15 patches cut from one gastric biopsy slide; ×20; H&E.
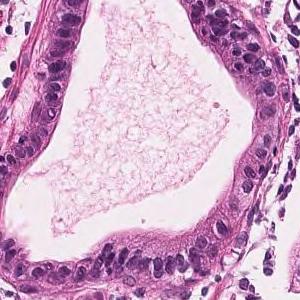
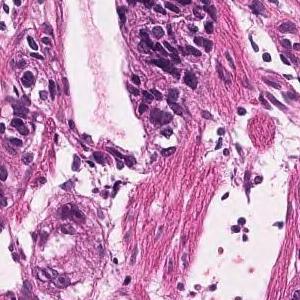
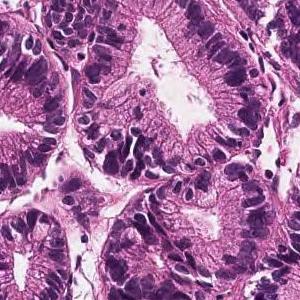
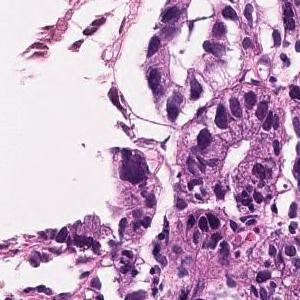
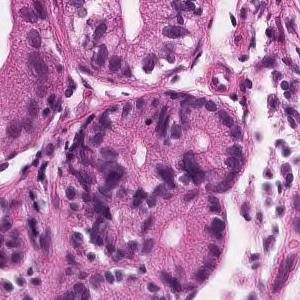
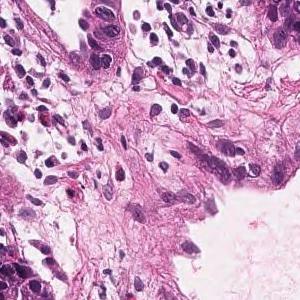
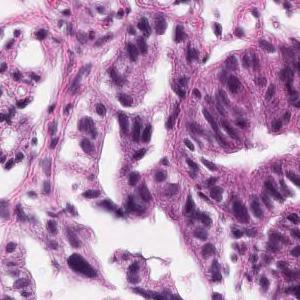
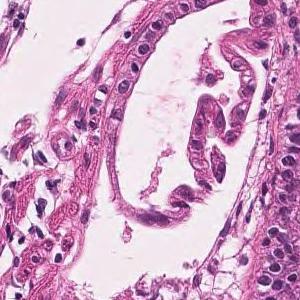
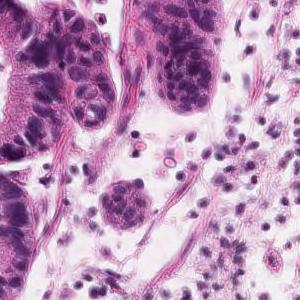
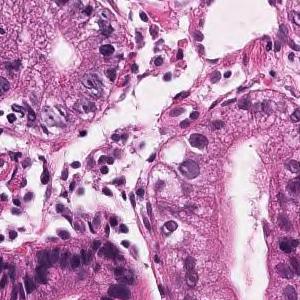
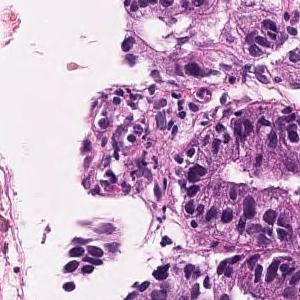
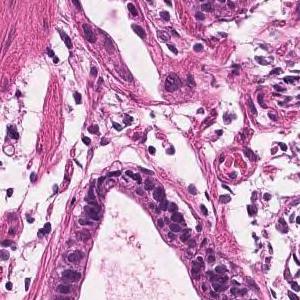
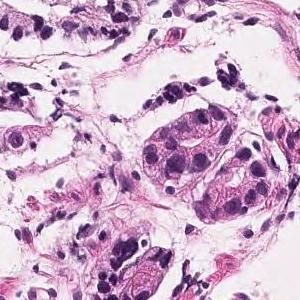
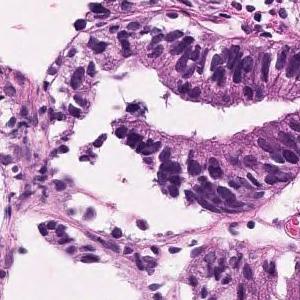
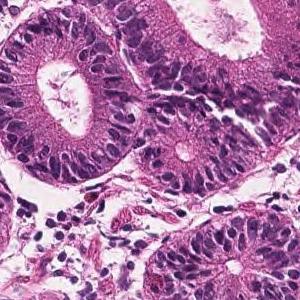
Diagnostic report for the slide these tiles come from. The report describes the whole slide, diagnosis included: not every finding it names need appear in these tiles, which may also show non-tumor tissue.
On the superficial epithelium, tumor tissue that infiltrates by forming medium-sized papillary or small irregular ducts is observed. Papillary adenocarcinoma
